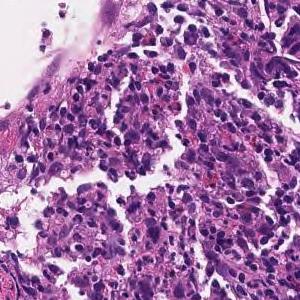
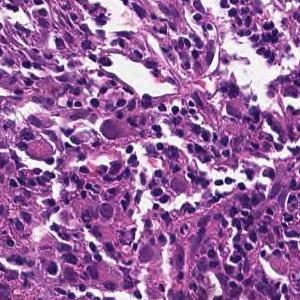
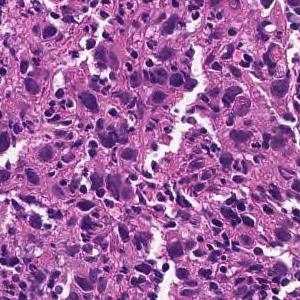
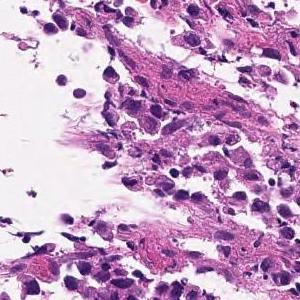
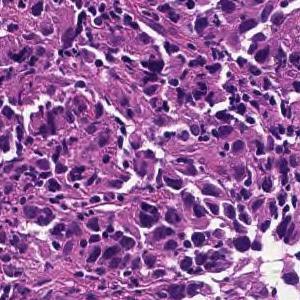
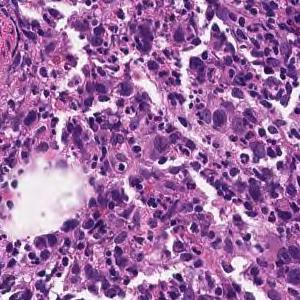
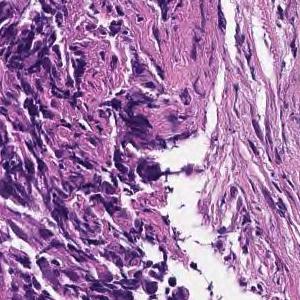
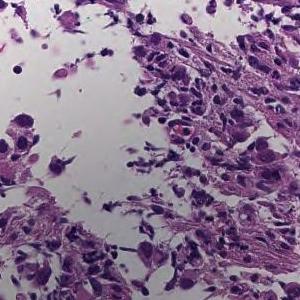
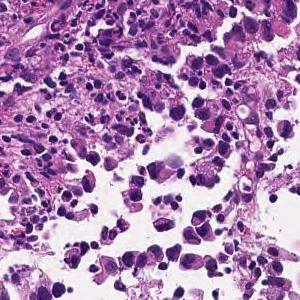
9 tiles cut from one stomach biopsy slide; 300 × 300 pixels each; scanned at ×20; hematoxylin and eosin stain.
Pathology report for the slide these tiles were cut from. The report and the diagnosis describe the slide as a whole, so these tiles may not show every feature named and may include non-tumor tissue.
The superficial epithelium shows a large sheet-like shape, and some tumor tissue infiltrates with small irregular ducts. Poorly differentiated adenocarcinoma, solid-type (poorly differentiated adenocarcinoma, solid type)
Subtype: Poorly differentiated adenocarcinoma, solid type, a category of the Japanese Classification of Gastric Carcinoma; in the WHO 2019 classification it is tubular adenocarcinoma, poorly differentiated.
